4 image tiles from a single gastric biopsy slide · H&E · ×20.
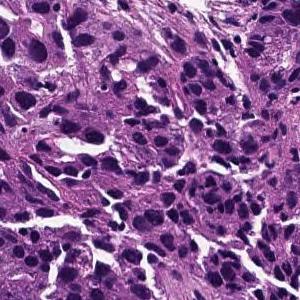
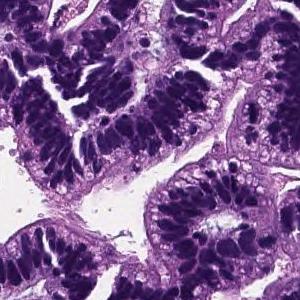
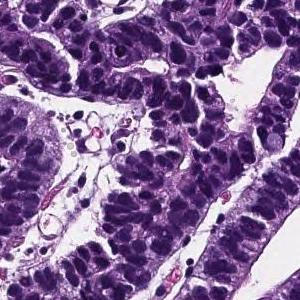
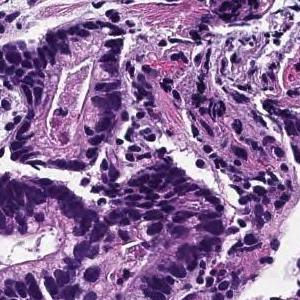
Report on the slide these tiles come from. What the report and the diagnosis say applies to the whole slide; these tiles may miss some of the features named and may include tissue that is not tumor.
From the superficial epithelium to the muscularis mucosae, tumor tissue consisting of medium-sized and irregular glandular ducts infiltrating is observed. Well differentiated tubular adenocarcinoma
